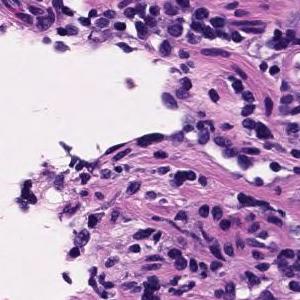
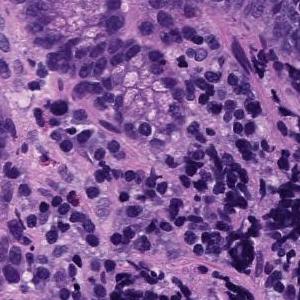
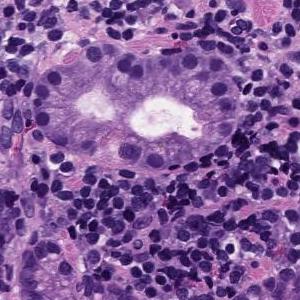
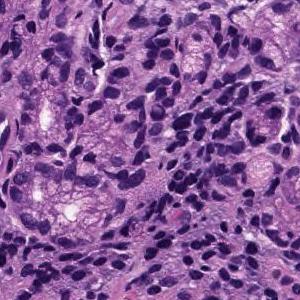
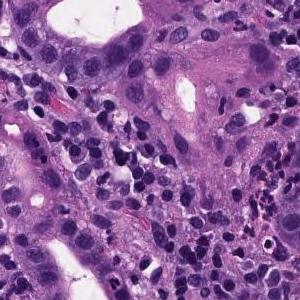
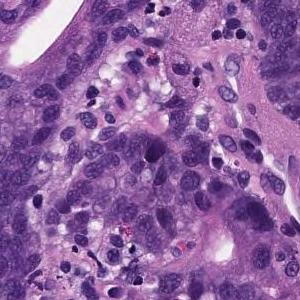
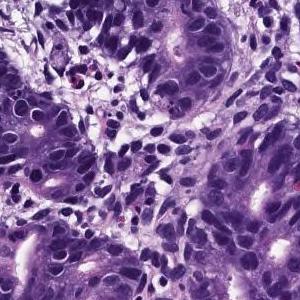
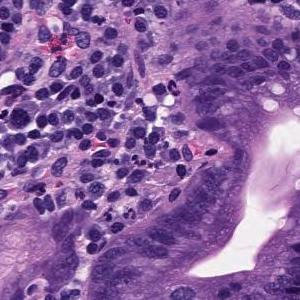
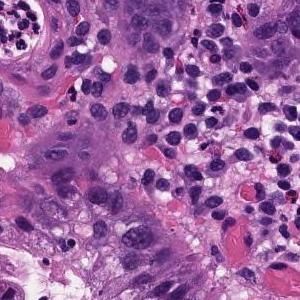
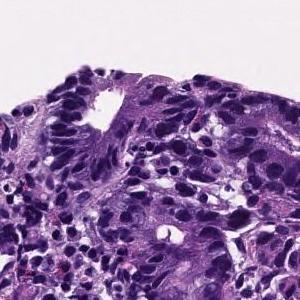
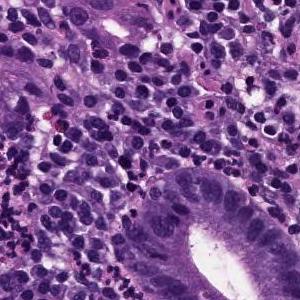
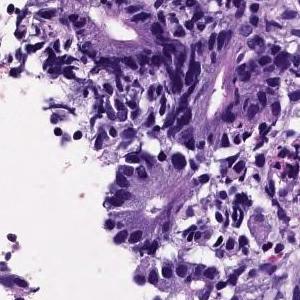
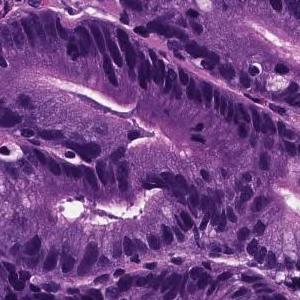
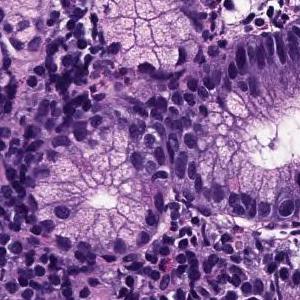
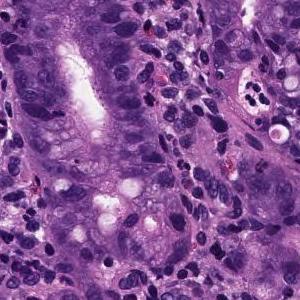
15 tiles cut from one stomach biopsy slide; 300×300 px each; scanned at ×20; H&E.
Pathology report for the slide these tiles were cut from. The report describes the whole slide, diagnosis included: not every finding it names need appear in these tiles, which may also show non-tumor tissue.
Medium to small, irregular glandular ducts are formed in the superficial epithelium, and in some cases, the glandular ducts are fused to show solid alveolar lesions and infiltrating tumor tissue is observed. Moderately to poorly differentiated adenocarcinoma.
